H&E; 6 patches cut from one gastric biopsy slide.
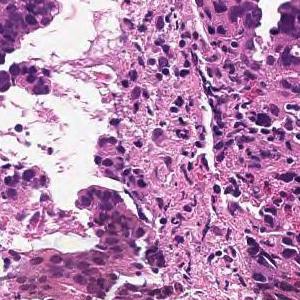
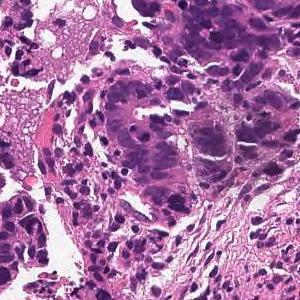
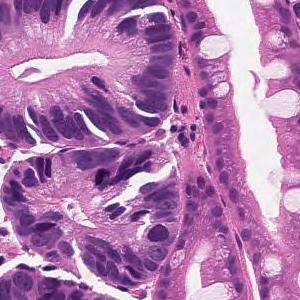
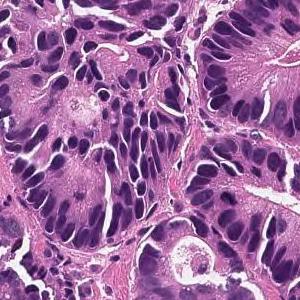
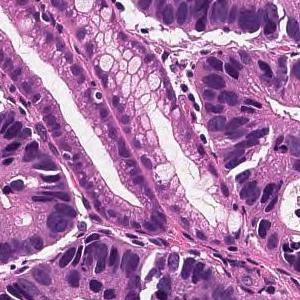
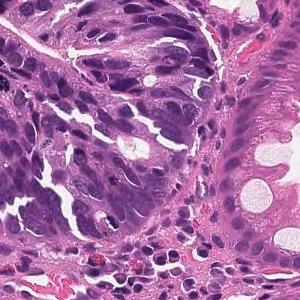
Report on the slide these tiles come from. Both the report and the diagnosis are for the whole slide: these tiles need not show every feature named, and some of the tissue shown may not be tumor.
Tumor cells are large, highly columnar, large club-shaped nuclei, and are associated with chromatin aggregation. Papillary adenocarcinoma.
